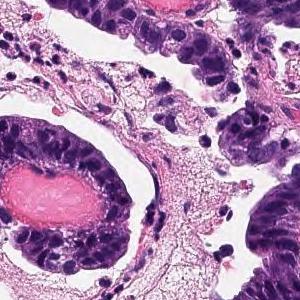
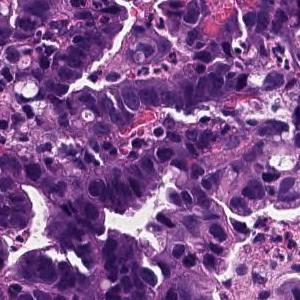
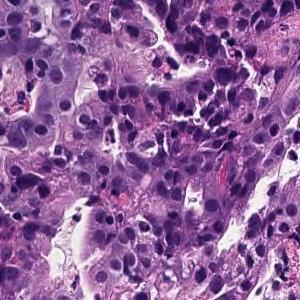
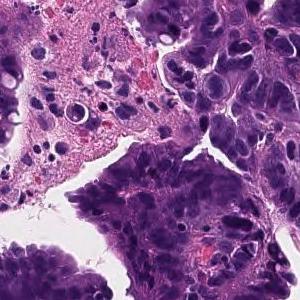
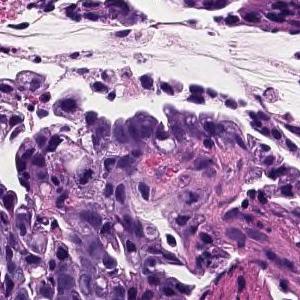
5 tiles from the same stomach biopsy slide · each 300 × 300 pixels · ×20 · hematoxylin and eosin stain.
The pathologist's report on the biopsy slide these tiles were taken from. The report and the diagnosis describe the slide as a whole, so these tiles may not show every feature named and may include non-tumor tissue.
Infiltrating tumor tissue is observed in the superficial epithelium, showing large papillary structures or large and small ducts. Papillary adenocarcinoma
